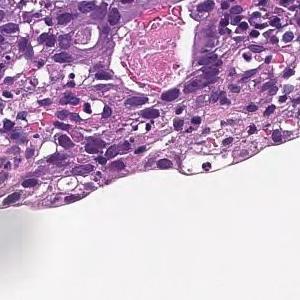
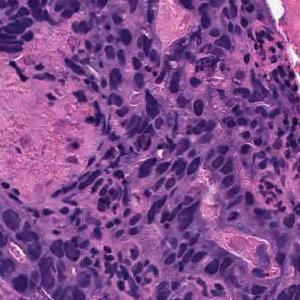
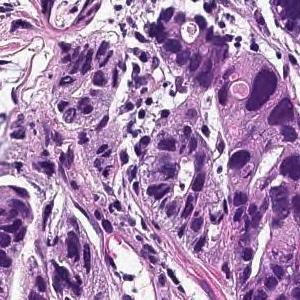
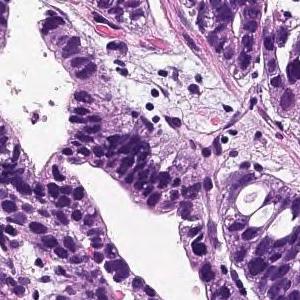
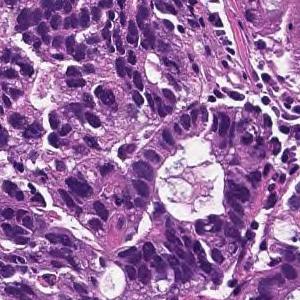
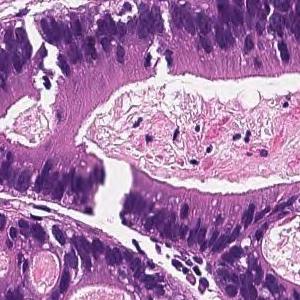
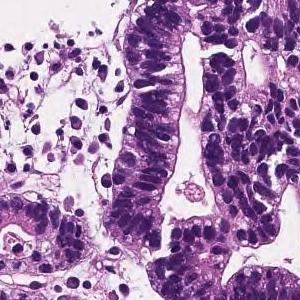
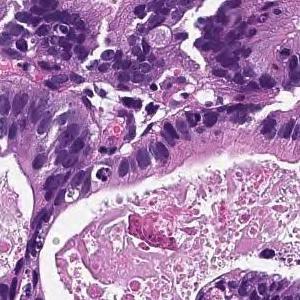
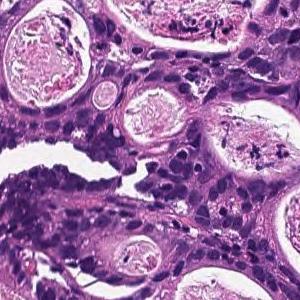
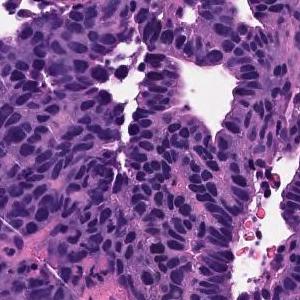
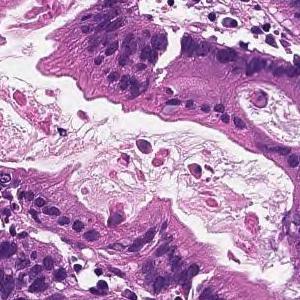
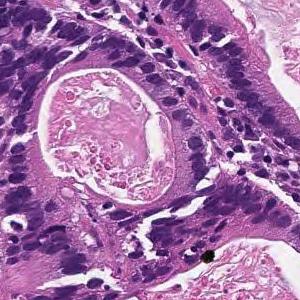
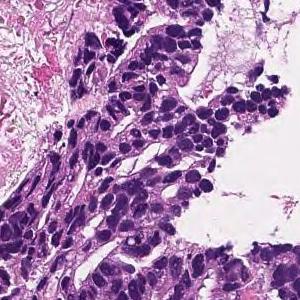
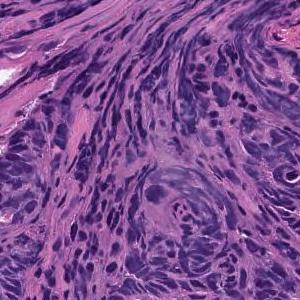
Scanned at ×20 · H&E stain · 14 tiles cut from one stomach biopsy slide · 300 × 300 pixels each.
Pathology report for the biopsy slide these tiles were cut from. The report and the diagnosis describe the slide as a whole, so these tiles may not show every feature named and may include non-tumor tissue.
In the superficial epithelium, tumor tissue that invades by forming medium-sized to small, irregular ducts is observed. moderately differentiated tubular adenocarcinoma.
